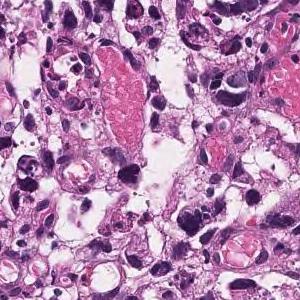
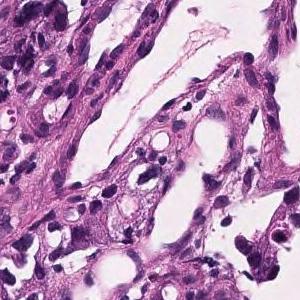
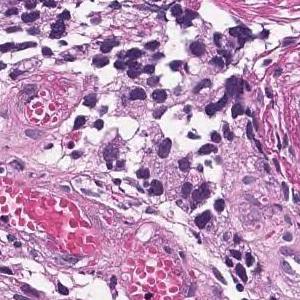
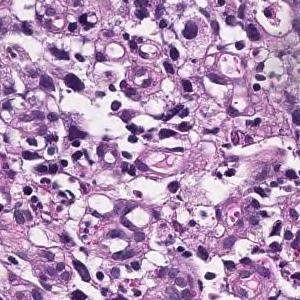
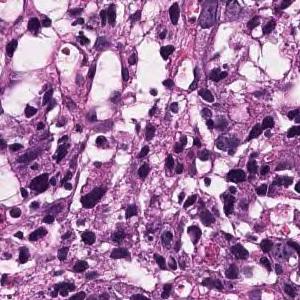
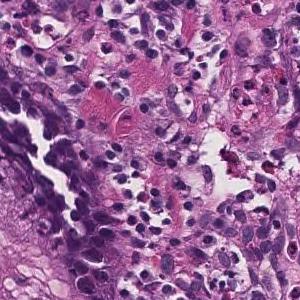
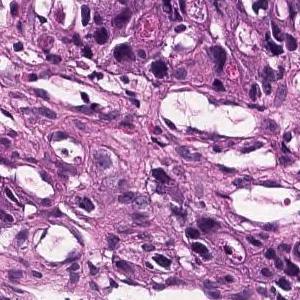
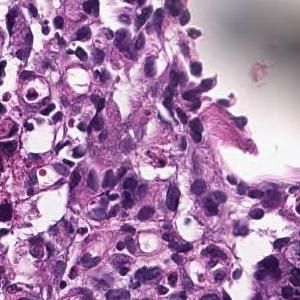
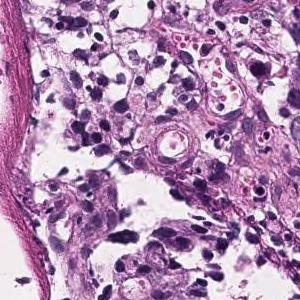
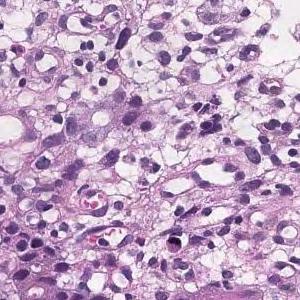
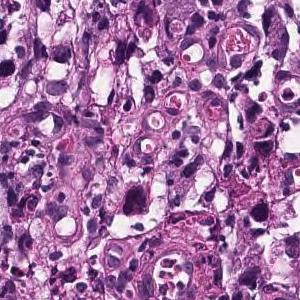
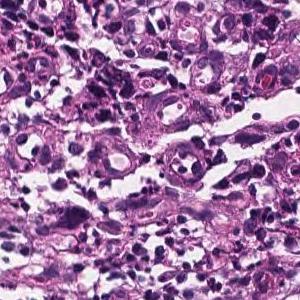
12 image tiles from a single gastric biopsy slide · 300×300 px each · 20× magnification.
The pathologist's report on the biopsy slide these tiles were taken from. Both the report and the diagnosis are for the whole slide: these tiles need not show every feature named, and some of the tissue shown may not be tumor.
Tumor tissue consisting of medium-sized, cord-like or irregular glandular infiltration is observed in the superficial epithelium. Poorly differentiated adenocarcinoma, non-solid type or moderately differentiated tubular adenocarcinoma
The term "non-solid type" comes from the Japanese Classification of Gastric Carcinoma.
